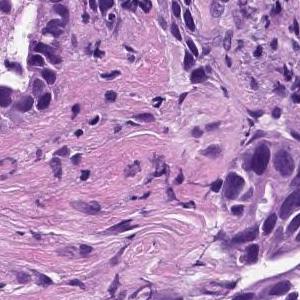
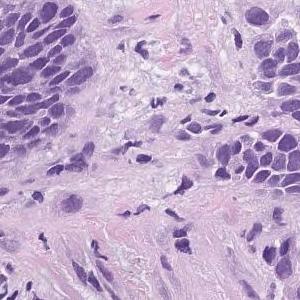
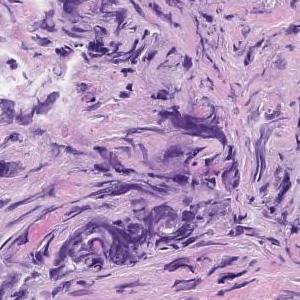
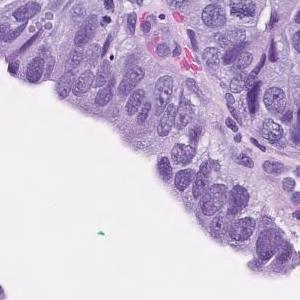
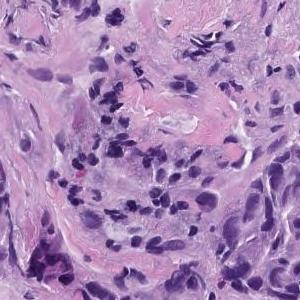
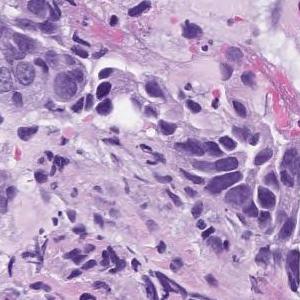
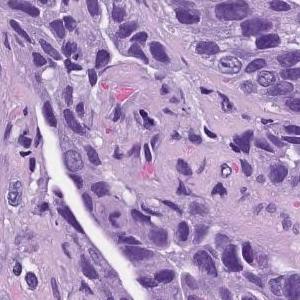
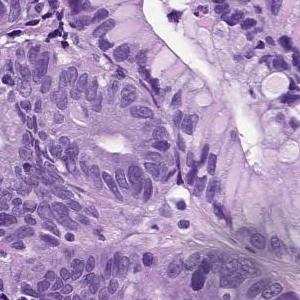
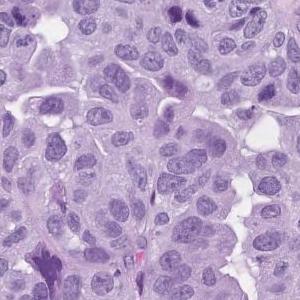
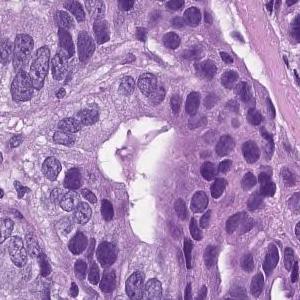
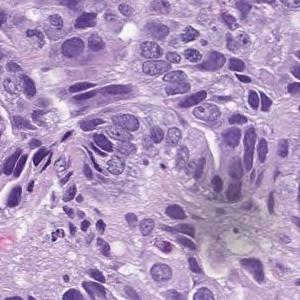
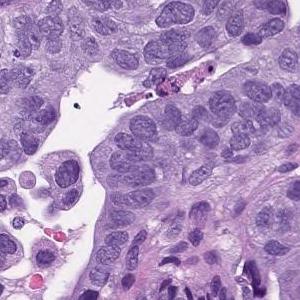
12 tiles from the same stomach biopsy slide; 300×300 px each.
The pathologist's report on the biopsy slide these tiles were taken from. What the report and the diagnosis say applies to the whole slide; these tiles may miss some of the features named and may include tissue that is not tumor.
In the superficial epithelium, tumor tissue that invades by forming medium-sized to small, irregular ducts is observed. moderately differentiated tubular adenocarcinoma.
